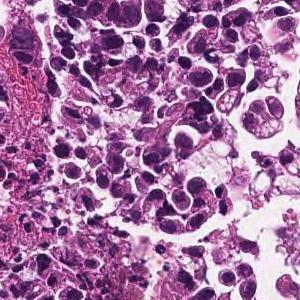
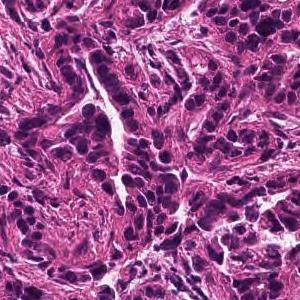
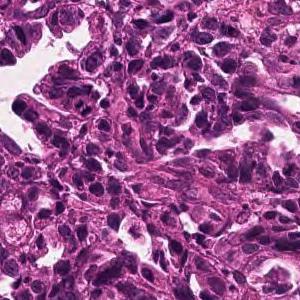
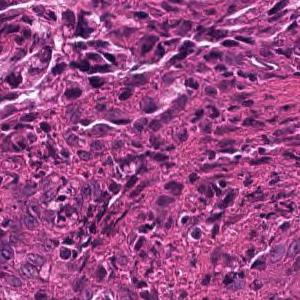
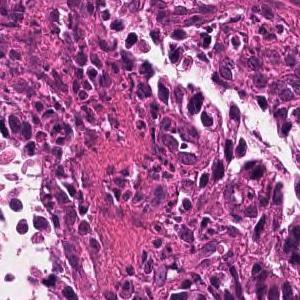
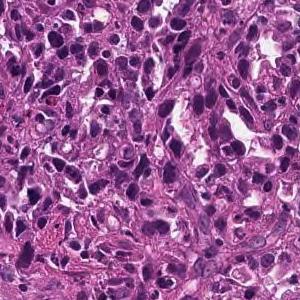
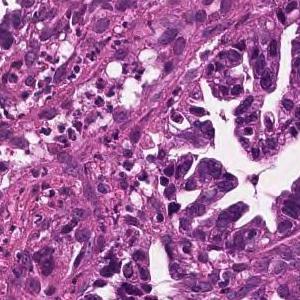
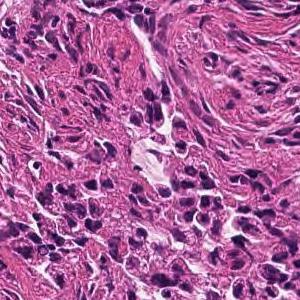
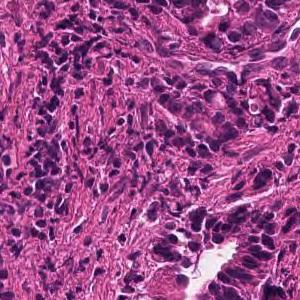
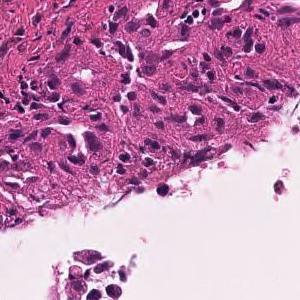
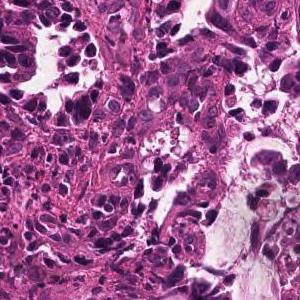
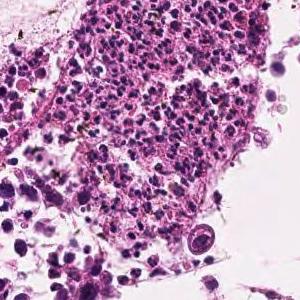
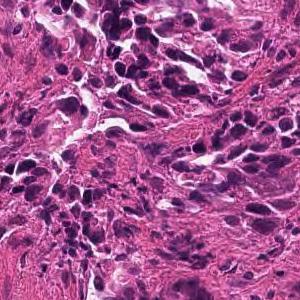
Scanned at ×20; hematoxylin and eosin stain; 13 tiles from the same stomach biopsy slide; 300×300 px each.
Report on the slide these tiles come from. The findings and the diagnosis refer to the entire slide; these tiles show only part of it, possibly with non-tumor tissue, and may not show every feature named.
In the superficial epithelium, tumor tissue that invades by forming medium-sized to small, irregular ducts is observed. moderately differentiated tubular adenocarcinoma.
